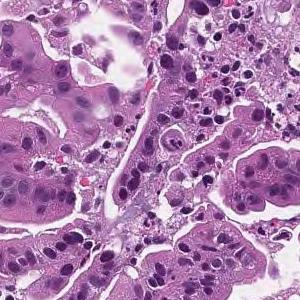
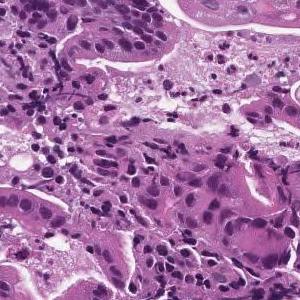
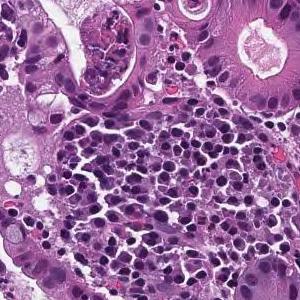
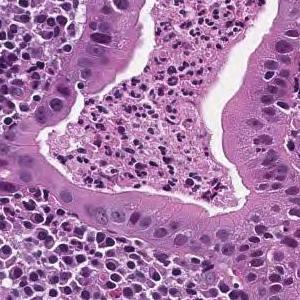
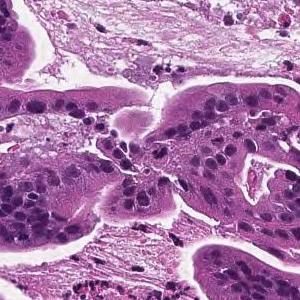
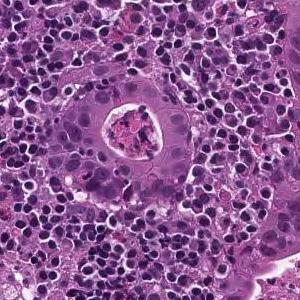
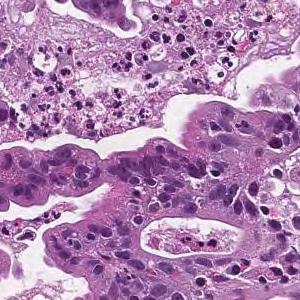
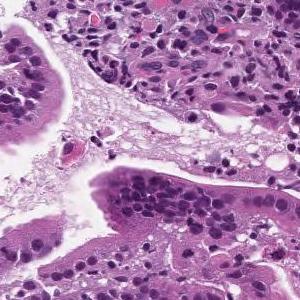
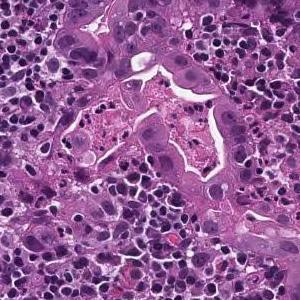
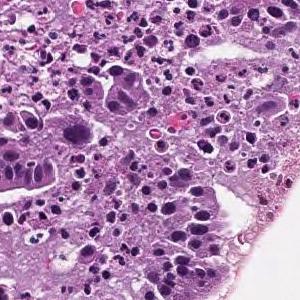
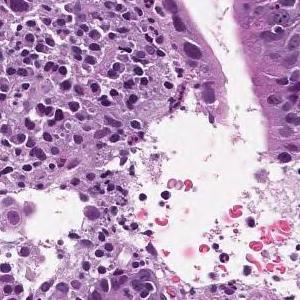
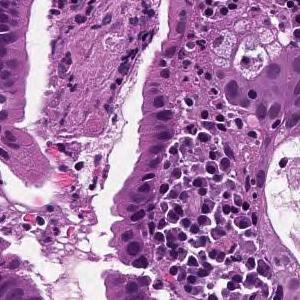
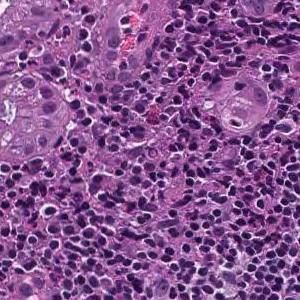
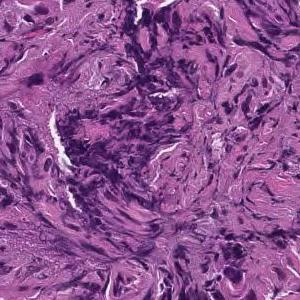
H&E stain · ×20 · 14 tiles from the same stomach biopsy slide.
Pathology report for the biopsy slide these tiles were cut from. The report describes the whole slide, diagnosis included: not every finding it names need appear in these tiles, which may also show non-tumor tissue.
From the superficial epithelium to the muscularis mucosae, tumor tissue consisting of medium-sized and irregular glandular ducts infiltrating is observed. Well differentiated tubular adenocarcinoma
